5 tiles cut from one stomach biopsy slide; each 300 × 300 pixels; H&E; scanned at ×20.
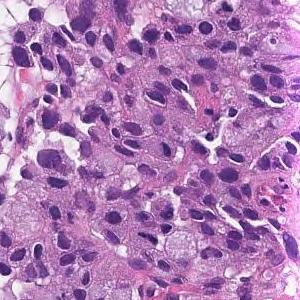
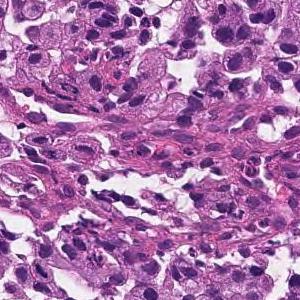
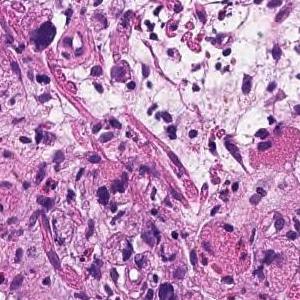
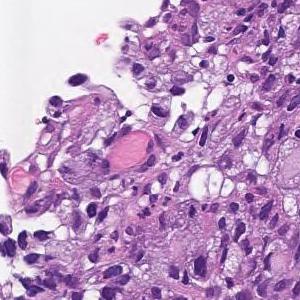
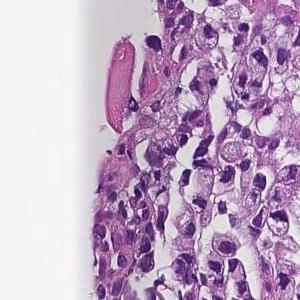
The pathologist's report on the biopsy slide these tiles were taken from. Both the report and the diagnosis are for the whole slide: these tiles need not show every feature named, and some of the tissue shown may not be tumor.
In the lamina propria, a tumor tissue consisting of signet ring cell type atypical epithelial cells infiltrating is observed. Signet ring cell carcinoma.
